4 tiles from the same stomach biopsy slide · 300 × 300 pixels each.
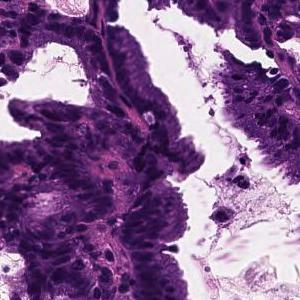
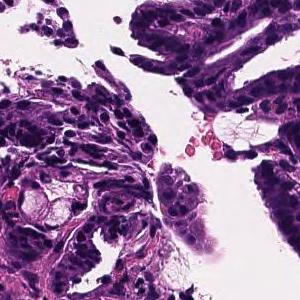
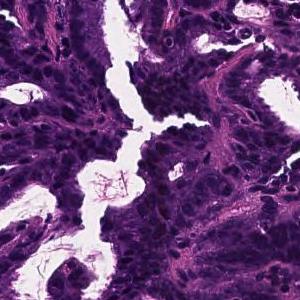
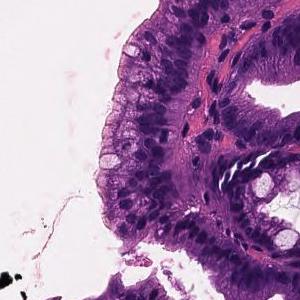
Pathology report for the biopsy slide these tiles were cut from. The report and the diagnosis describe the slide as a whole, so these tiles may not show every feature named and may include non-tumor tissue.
In the superficial epithelium, tumor tissue that invades by forming medium-sized to small, irregular ducts is observed. moderately differentiated tubular adenocarcinoma.
